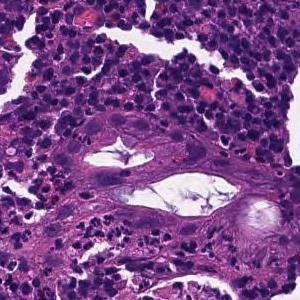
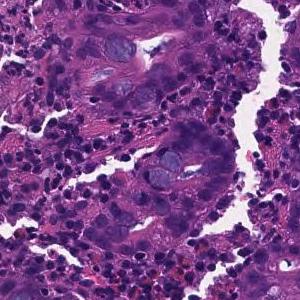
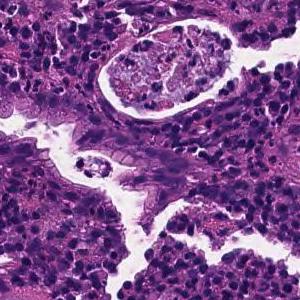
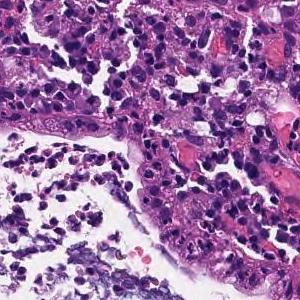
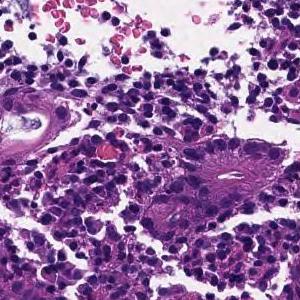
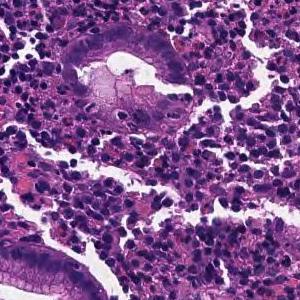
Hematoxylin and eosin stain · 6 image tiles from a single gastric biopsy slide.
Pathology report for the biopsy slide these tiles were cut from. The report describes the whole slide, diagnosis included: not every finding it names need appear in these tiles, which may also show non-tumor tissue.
In the superficial epithelium, tumor tissue that invades by forming medium-sized to small, irregular ducts is observed. moderately differentiated tubular adenocarcinoma.
